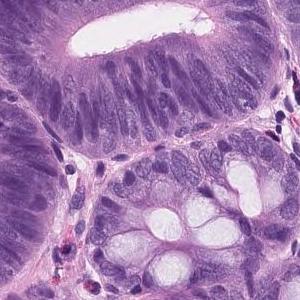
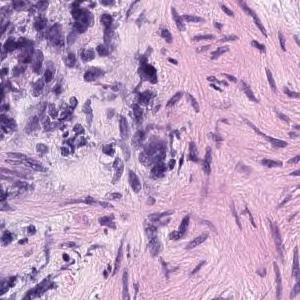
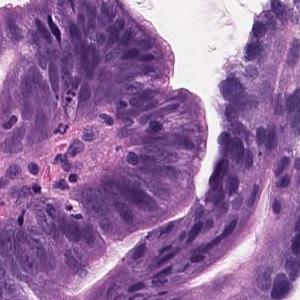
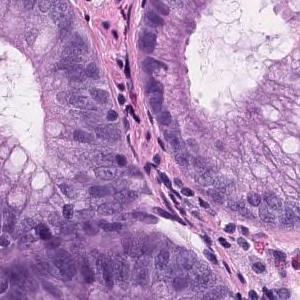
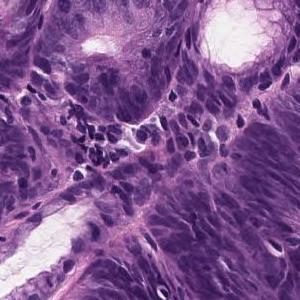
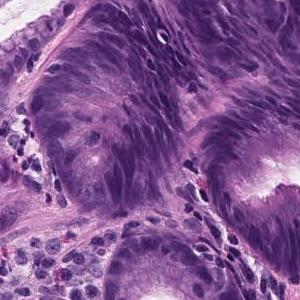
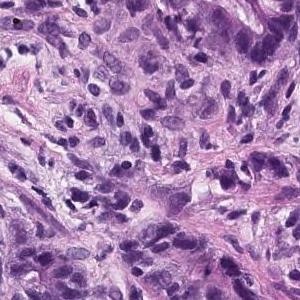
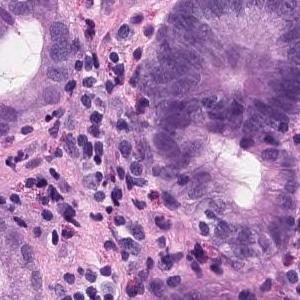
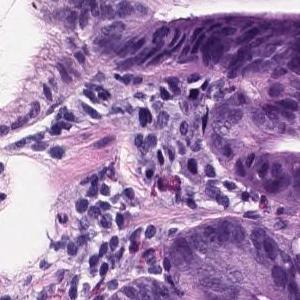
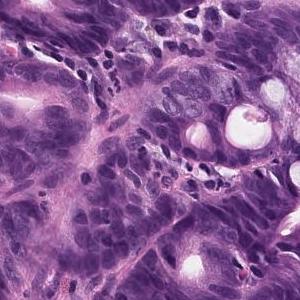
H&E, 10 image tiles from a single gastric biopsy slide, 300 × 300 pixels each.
Report on the slide these tiles come from. The report and the diagnosis cover the entire slide, so not every feature they name need be visible here, and some tissue shown may not be tumor.
On the superficial epithelium, tumor tissue with densely growing medium to large, round tubules is observed. Tumor cells are highly columnar, with nuclei aligned basolaterally and polarized. Well differentiated tubular adenocarcinoma
